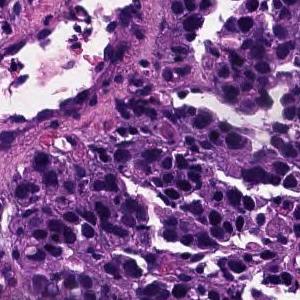
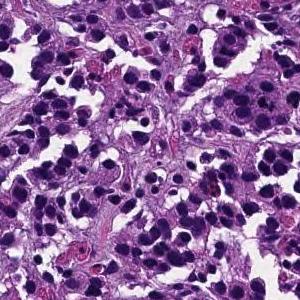
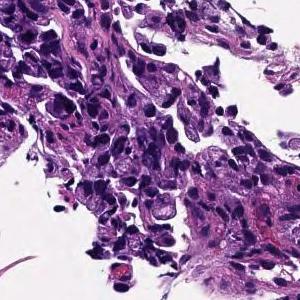
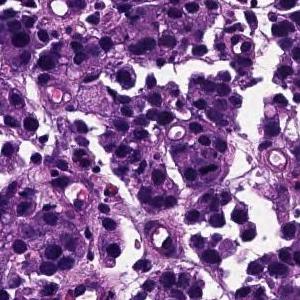
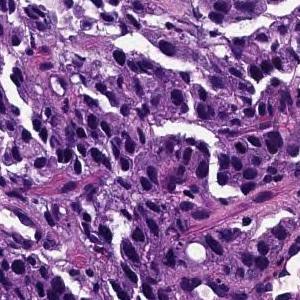
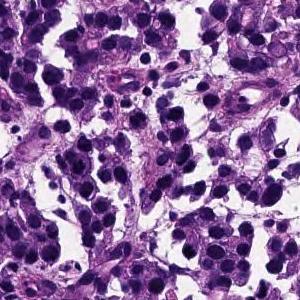
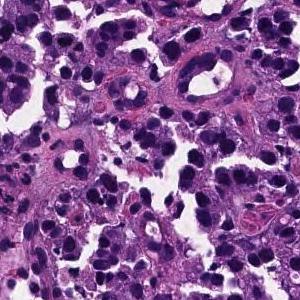
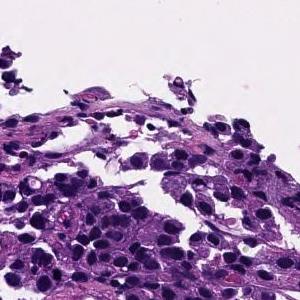
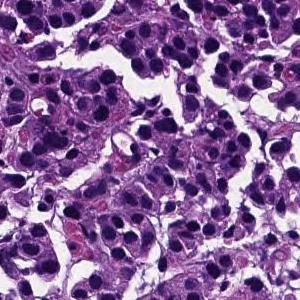
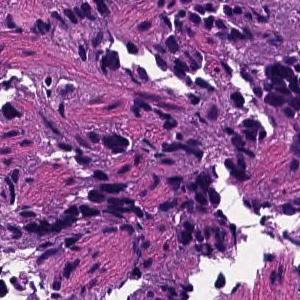
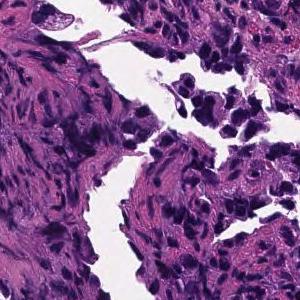
Hematoxylin and eosin stain; ×20; 11 tiles from the same stomach biopsy slide.
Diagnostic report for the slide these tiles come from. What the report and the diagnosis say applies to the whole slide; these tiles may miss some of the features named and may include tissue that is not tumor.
The superficial epithelium shows a large alveolar shape and infiltrates tumor tissue. Poorly differentiated adenocarcinoma, solid-type
Subtype: Poorly differentiated adenocarcinoma, solid type (Japanese Classification of Gastric Carcinoma). The WHO 2019 equivalent is tubular adenocarcinoma, poorly differentiated.
